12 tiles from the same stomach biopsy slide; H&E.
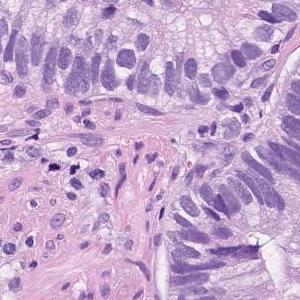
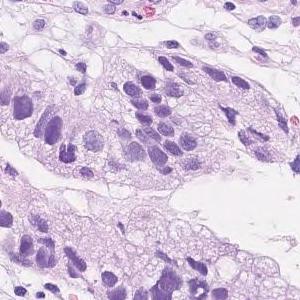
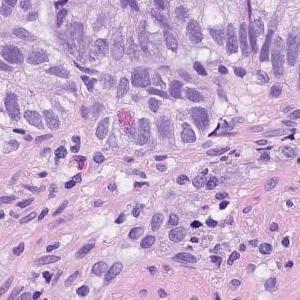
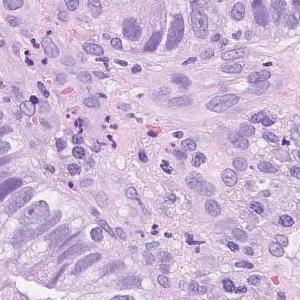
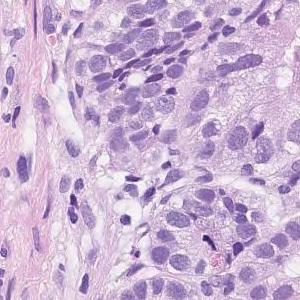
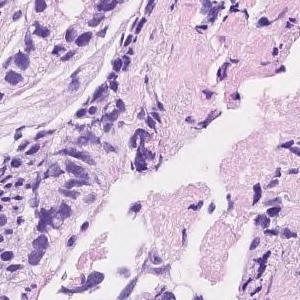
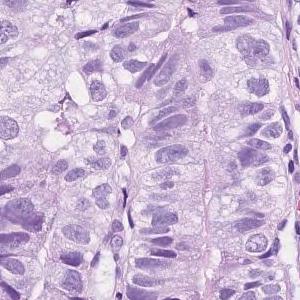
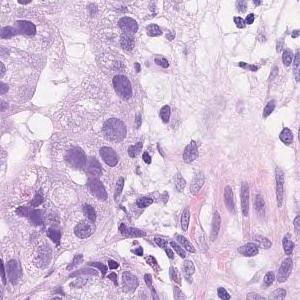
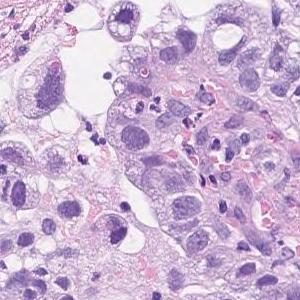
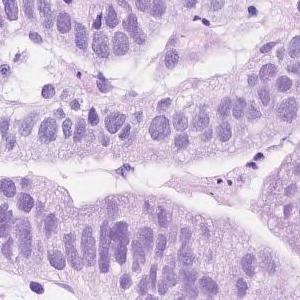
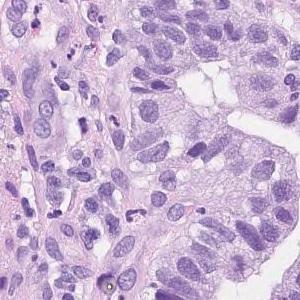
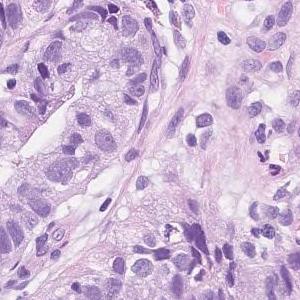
Pathology report for the slide these tiles were cut from. Both the report and the diagnosis are for the whole slide: these tiles need not show every feature named, and some of the tissue shown may not be tumor.
Atypical l cells with atypical nuclei forming solid or diffuse vesicles or small irregular atypical ducts and growing in a complex manner. moderately differentiated tubular adenocarcinoma
